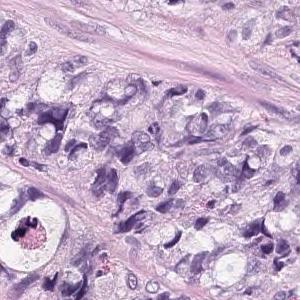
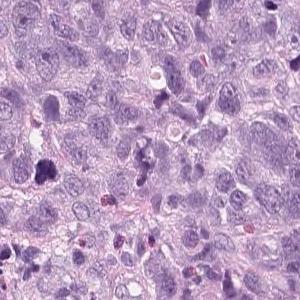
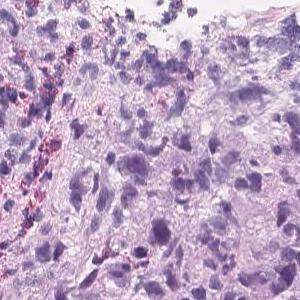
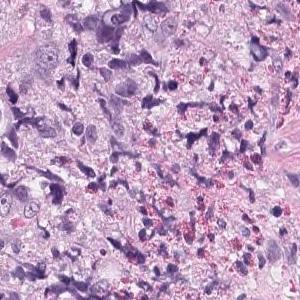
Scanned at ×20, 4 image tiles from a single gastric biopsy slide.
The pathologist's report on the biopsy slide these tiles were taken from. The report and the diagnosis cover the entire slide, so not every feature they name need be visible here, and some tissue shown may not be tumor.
Tumor tissue that infiltrates and proliferates by forming small glandular cavities in the superficial layer to the submucosa or forming a mass is observed. moderately differentiated tubular adenocarcinoma
